16 image tiles from a single gastric biopsy slide · scanned at ×20.
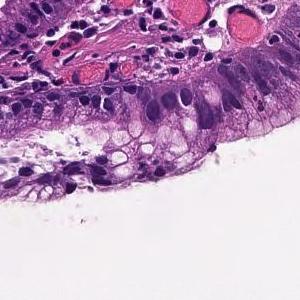
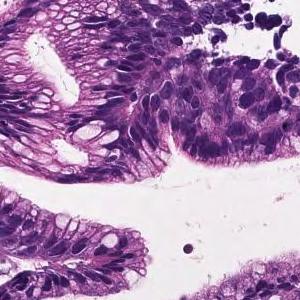
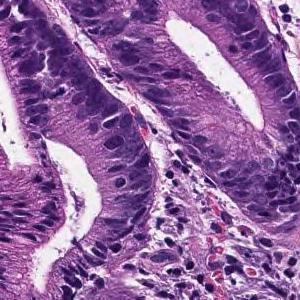
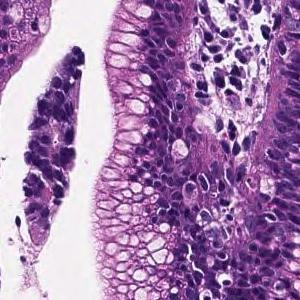
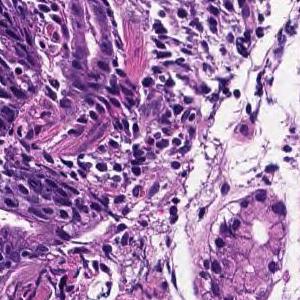
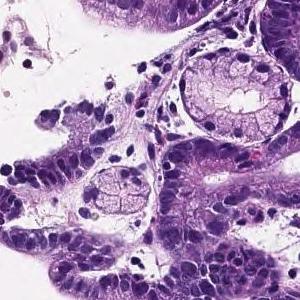
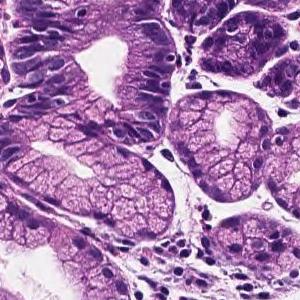
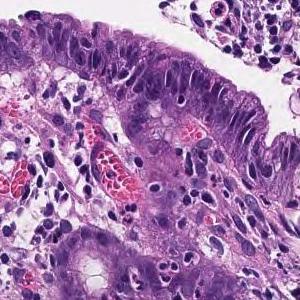
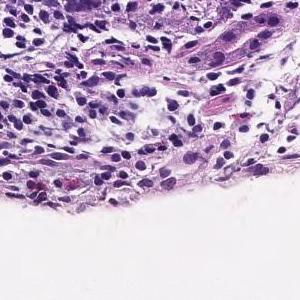
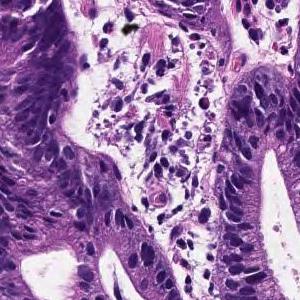
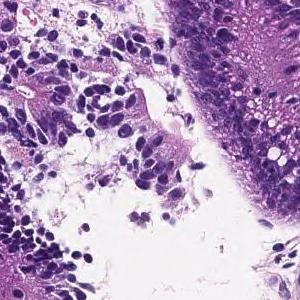
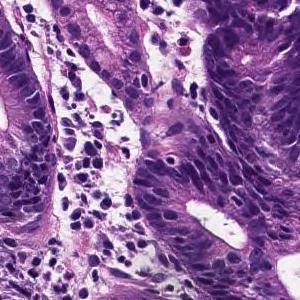
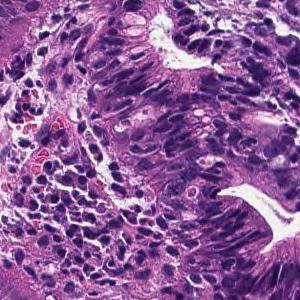
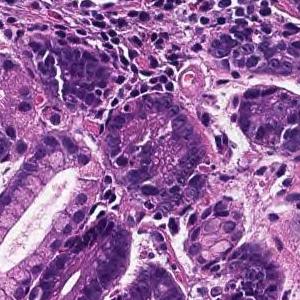
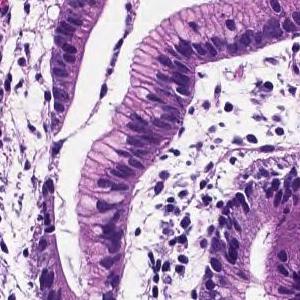
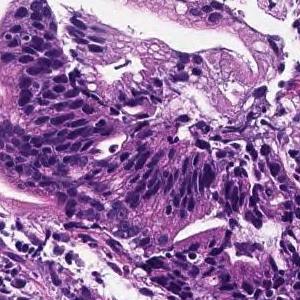
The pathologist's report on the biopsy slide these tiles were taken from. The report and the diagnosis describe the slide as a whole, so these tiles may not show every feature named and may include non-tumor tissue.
From the superficial epithelium to the muscularis mucosae, tumor tissue consisting of medium-sized and irregular glandular ducts infiltrating is observed. Well differentiated tubular adenocarcinoma
